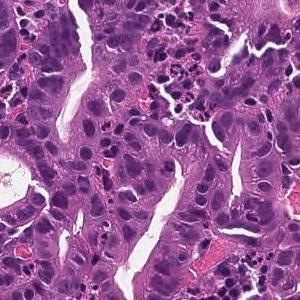
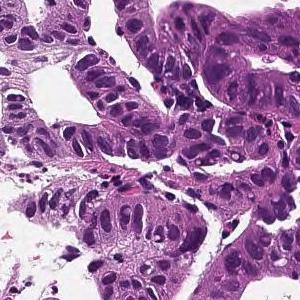
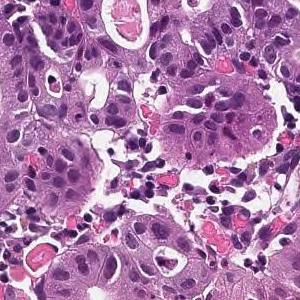
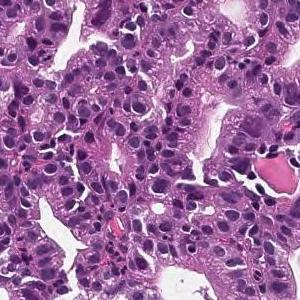
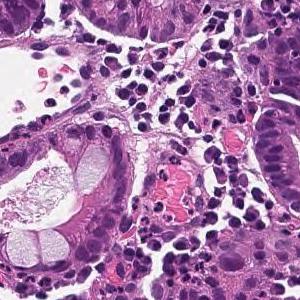
Scanned at ×20 · 5 tiles cut from one stomach biopsy slide · each 300 × 300 pixels.
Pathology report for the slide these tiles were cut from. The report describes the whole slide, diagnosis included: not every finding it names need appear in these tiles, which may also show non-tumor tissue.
From the superficial epithelium to the muscularis mucosae, tumor tissue consisting of medium-sized and irregular glandular ducts infiltrating is observed. Well differentiated tubular adenocarcinoma
